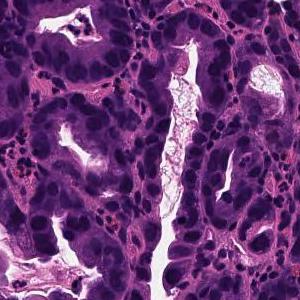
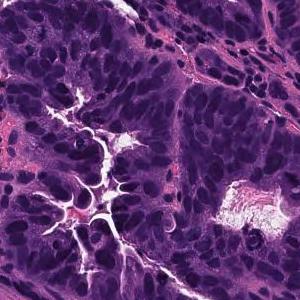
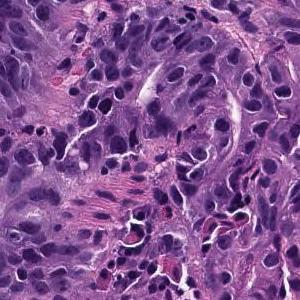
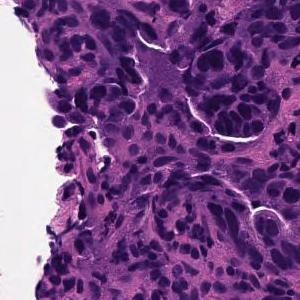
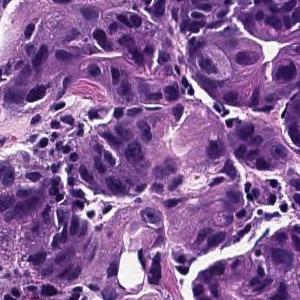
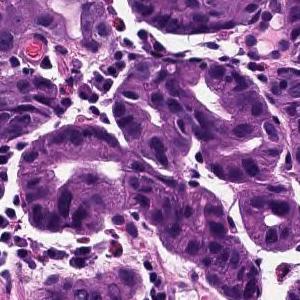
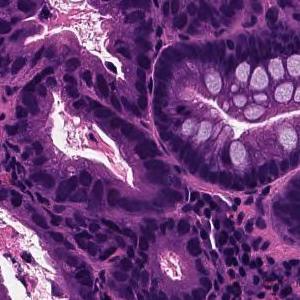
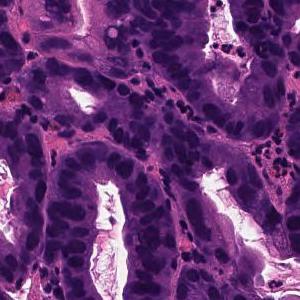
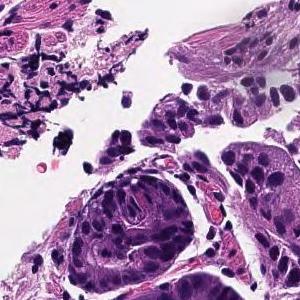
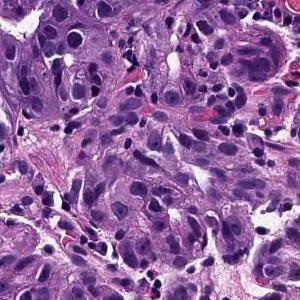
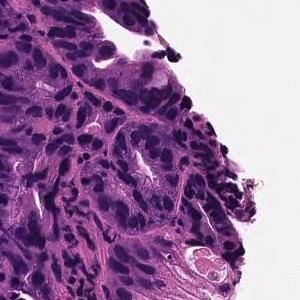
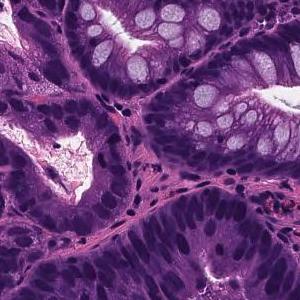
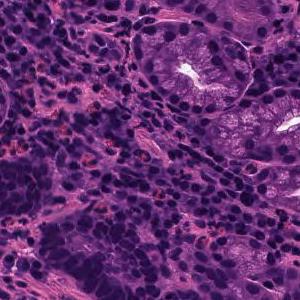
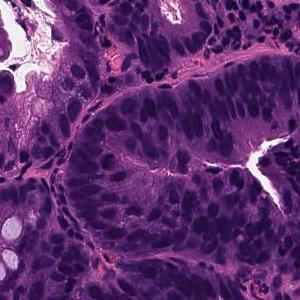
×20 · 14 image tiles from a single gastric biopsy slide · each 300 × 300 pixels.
Pathology report for the slide these tiles were cut from. The findings and the diagnosis refer to the entire slide; these tiles show only part of it, possibly with non-tumor tissue, and may not show every feature named.
On the superficial epithelium, tumor tissue consisting of large irregular glandular ducts partially fused and infiltrated is observed. Well to moderately differentiated tubular adenocarcinoma (well differentiated tubular adenocarcinoma, moderately differentiated tubular adenocarcinoma)
Subtype: Well to moderately differentiated tubular adenocarcinoma.
